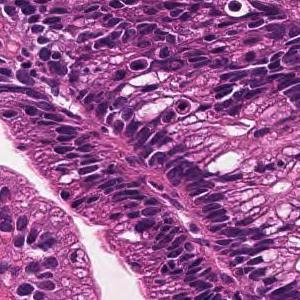
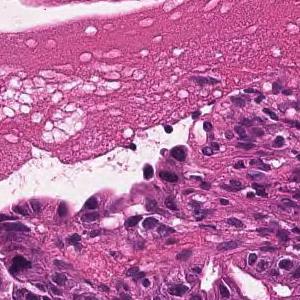
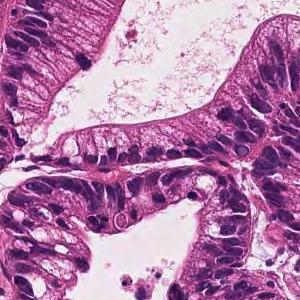
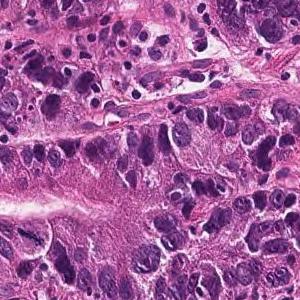
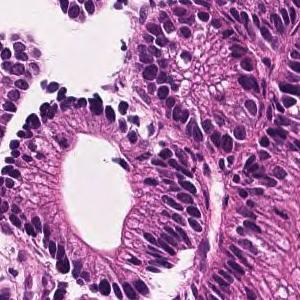
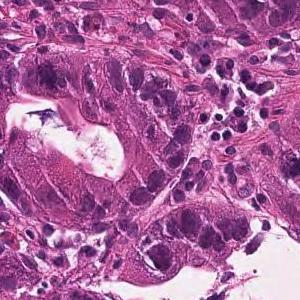
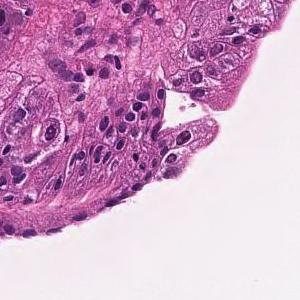
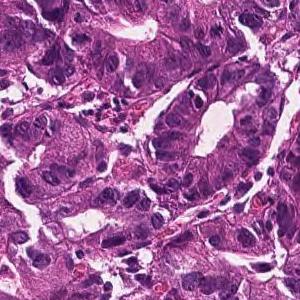
8 tiles cut from one stomach biopsy slide, 300 × 300 pixels each, hematoxylin and eosin stain, ×20.
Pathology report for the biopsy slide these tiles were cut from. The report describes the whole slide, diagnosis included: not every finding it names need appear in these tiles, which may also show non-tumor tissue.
In the superficial epithelium, tumor tissue that invades by forming medium-sized to small, irregular ducts is observed. moderately differentiated tubular adenocarcinoma.
